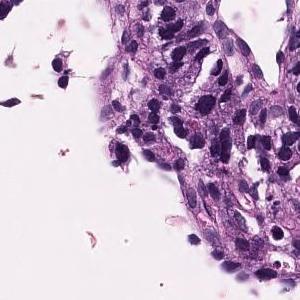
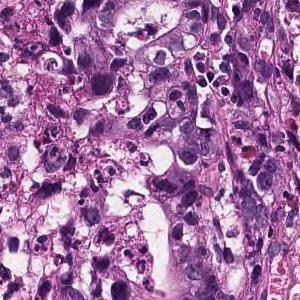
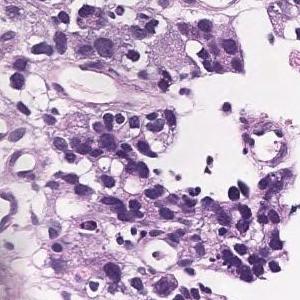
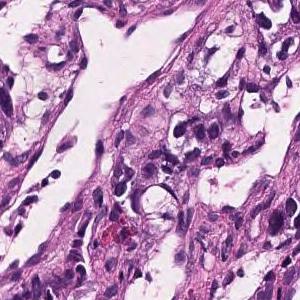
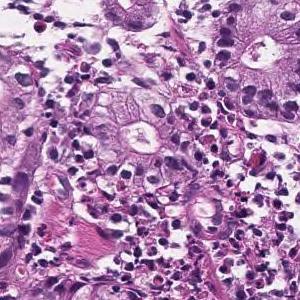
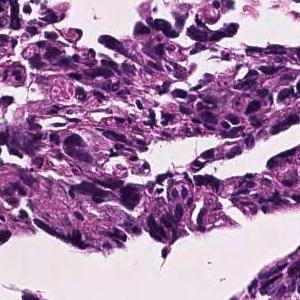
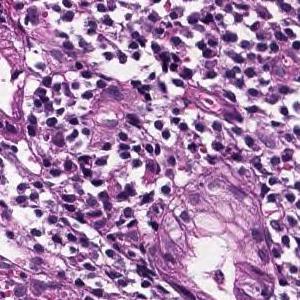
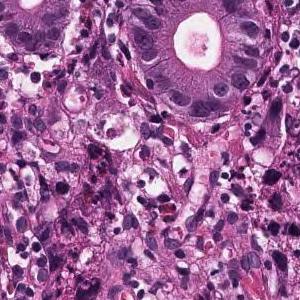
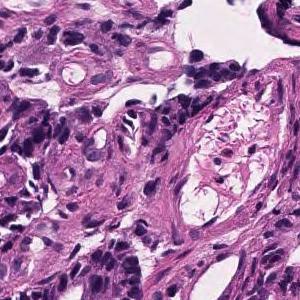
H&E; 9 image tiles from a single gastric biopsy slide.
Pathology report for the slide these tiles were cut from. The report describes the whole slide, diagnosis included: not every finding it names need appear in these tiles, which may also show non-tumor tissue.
Tumor tissue consisting of medium-sized, cord-like or irregular glandular infiltration is observed in the superficial epithelium. Poorly differentiated adenocarcinoma, non-solid type or moderately differentiated tubular adenocarcinoma
"Non-solid type" is a category of the Japanese Classification of Gastric Carcinoma.
